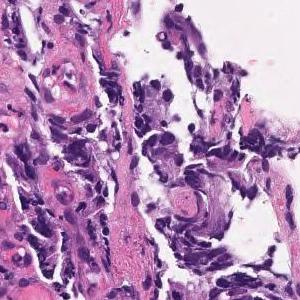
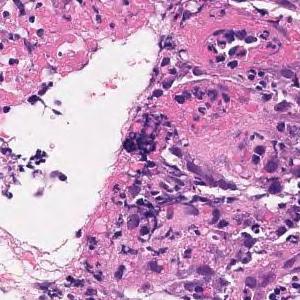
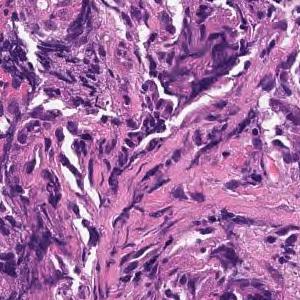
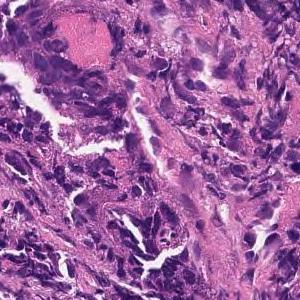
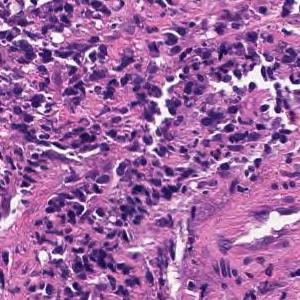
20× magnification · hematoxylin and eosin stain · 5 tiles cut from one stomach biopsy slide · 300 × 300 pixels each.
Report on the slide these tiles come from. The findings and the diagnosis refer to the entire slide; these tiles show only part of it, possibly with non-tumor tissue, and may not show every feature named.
Tumor tissue consisting of medium-sized, cord-like or irregular glandular infiltration is observed in the superficial epithelium. Poorly differentiated adenocarcinoma, non-solid type or moderately differentiated tubular adenocarcinoma
Tumor subtype: moderately to poorly differentiated adenocarcinoma.
"Non-solid type" is a category of the Japanese Classification of Gastric Carcinoma.
